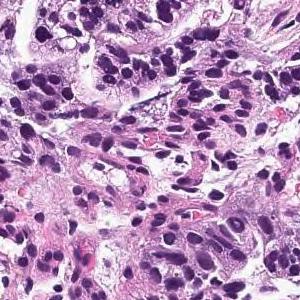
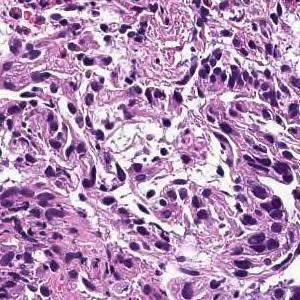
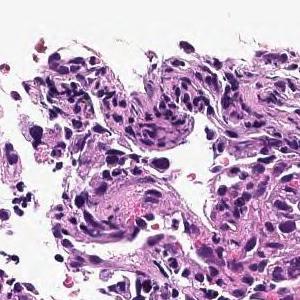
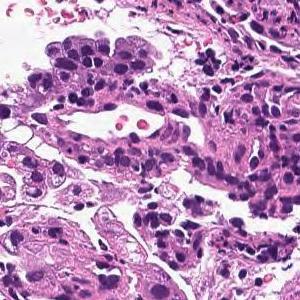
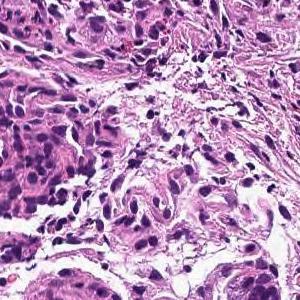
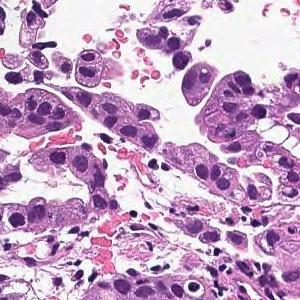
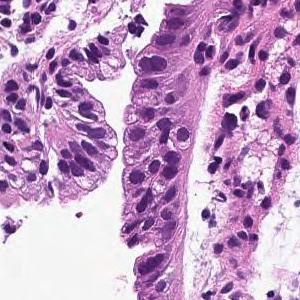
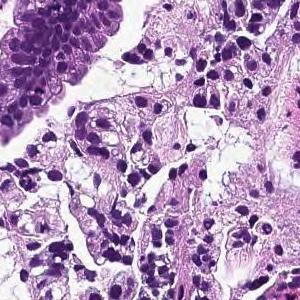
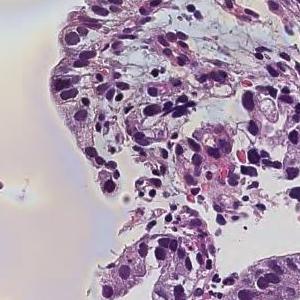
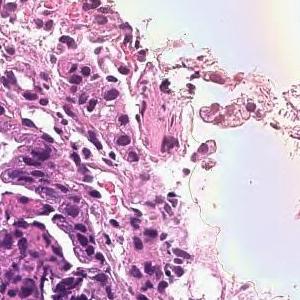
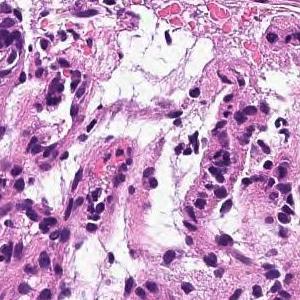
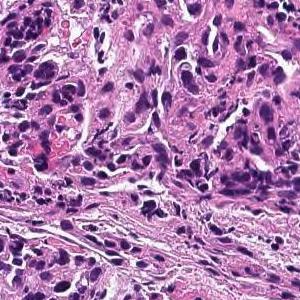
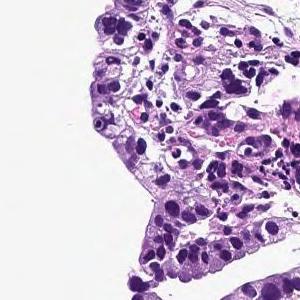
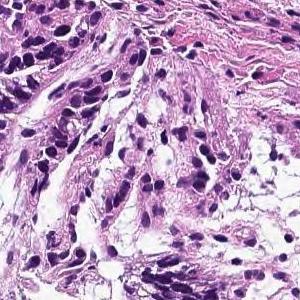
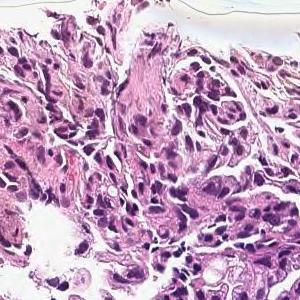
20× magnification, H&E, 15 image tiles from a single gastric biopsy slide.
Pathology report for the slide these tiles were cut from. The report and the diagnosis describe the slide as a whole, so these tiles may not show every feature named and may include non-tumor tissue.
On the superficial epithelium, tumor tissue that infiltrates by forming medium-sized papillary or small irregular ducts is observed. Papillary adenocarcinoma
